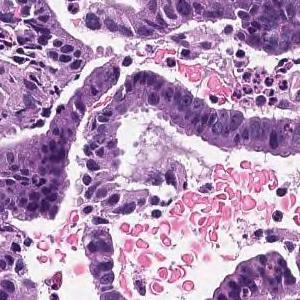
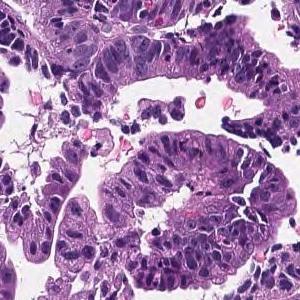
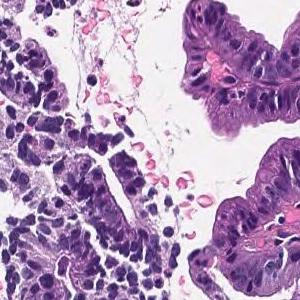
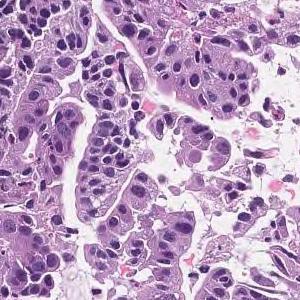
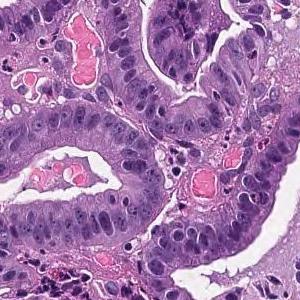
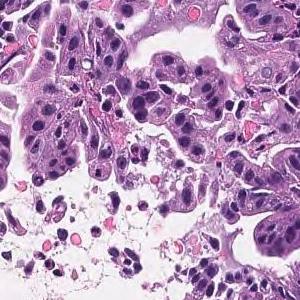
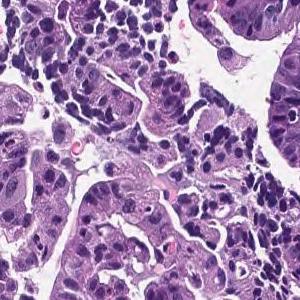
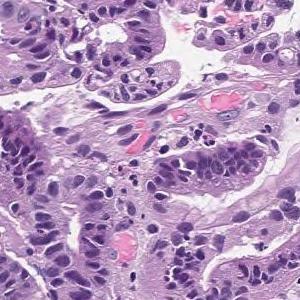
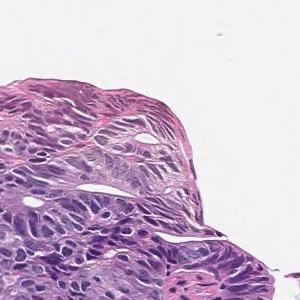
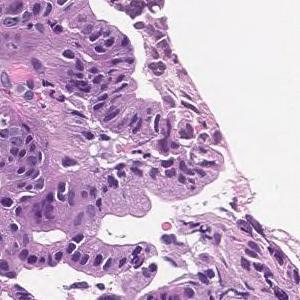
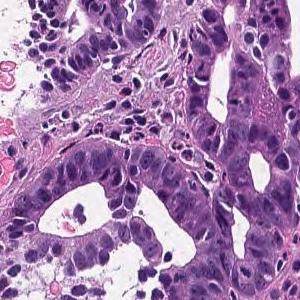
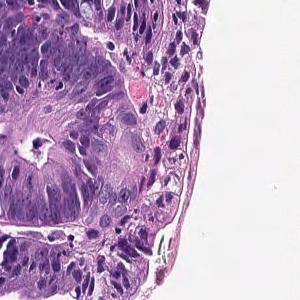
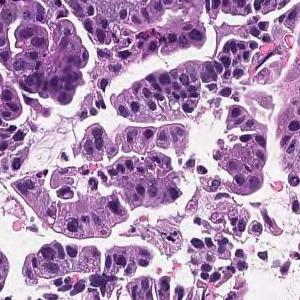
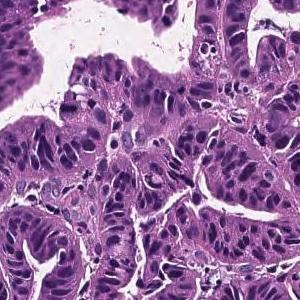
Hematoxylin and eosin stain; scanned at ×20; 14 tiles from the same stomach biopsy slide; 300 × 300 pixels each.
Diagnostic report for the slide these tiles come from. The findings and the diagnosis refer to the entire slide; these tiles show only part of it, possibly with non-tumor tissue, and may not show every feature named.
Tumor cells are large, highly columnar, large club-shaped nuclei, and are associated with chromatin aggregation. Papillary adenocarcinoma.
